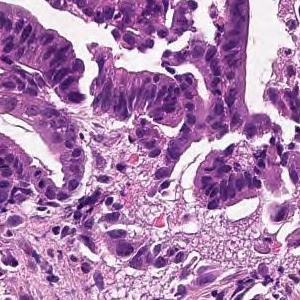
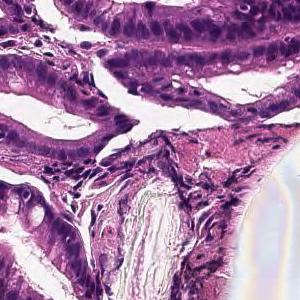
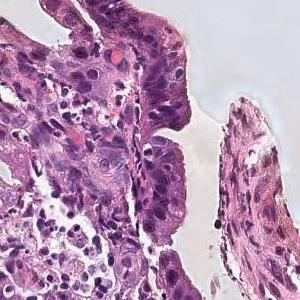
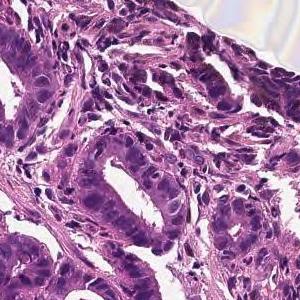
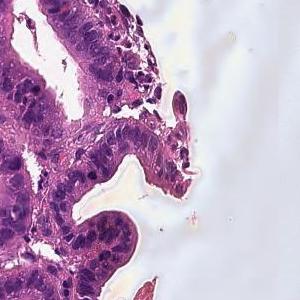
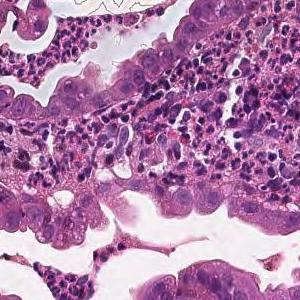
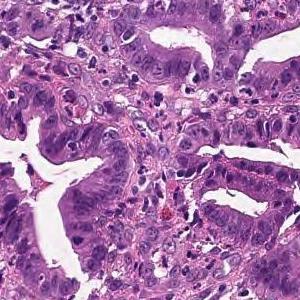
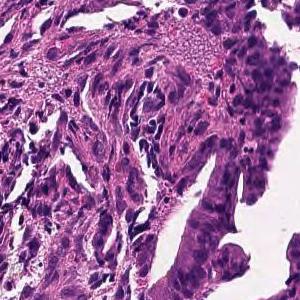
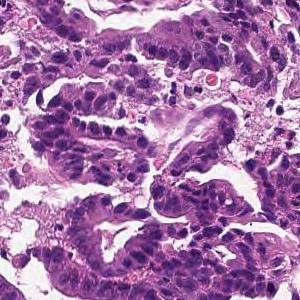
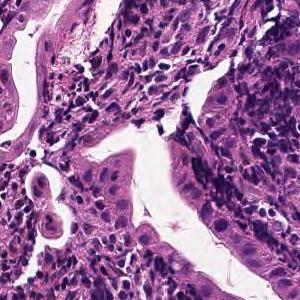
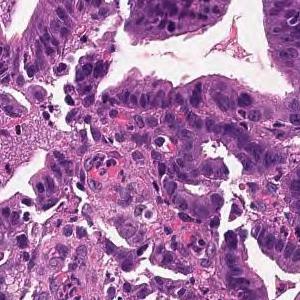
Scanned at ×20 · hematoxylin and eosin stain · 11 tiles cut from one stomach biopsy slide.
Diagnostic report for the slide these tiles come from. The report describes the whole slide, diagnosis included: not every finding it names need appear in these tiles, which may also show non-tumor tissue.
From the superficial epithelium to the muscularis mucosae, tumor tissue consisting of medium-sized and irregular glandular ducts infiltrating is observed. Well differentiated tubular adenocarcinoma
